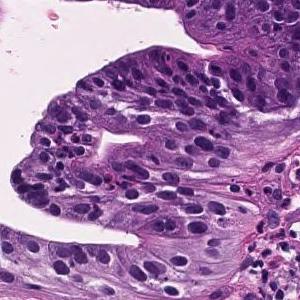
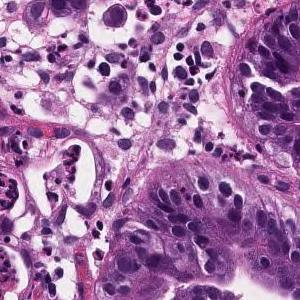
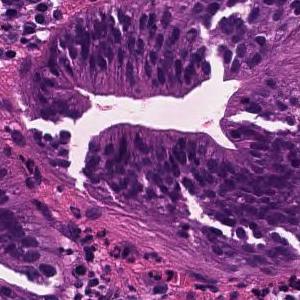
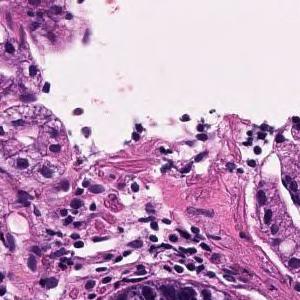
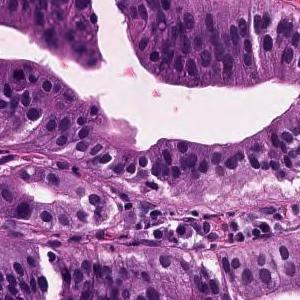
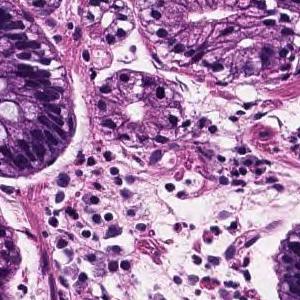
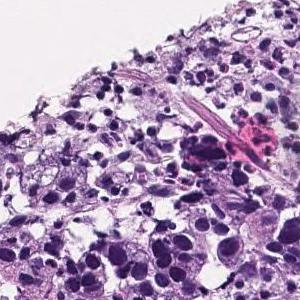
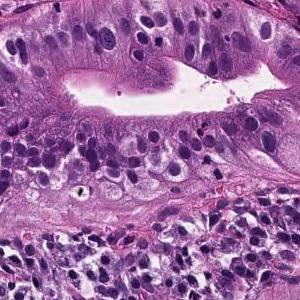
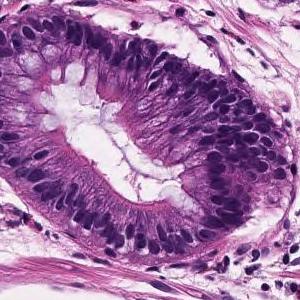
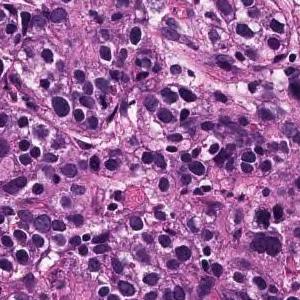
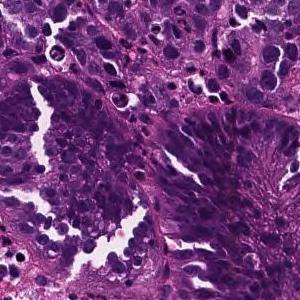
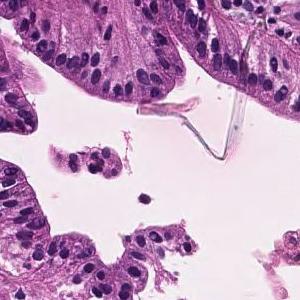
H&E stain; scanned at ×20; 12 tiles cut from one stomach biopsy slide.
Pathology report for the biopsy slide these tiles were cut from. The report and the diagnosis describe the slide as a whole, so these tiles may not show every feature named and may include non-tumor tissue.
In the superficial epithelium, tumor tissue that invades by forming medium-sized to small, irregular ducts is observed. moderately differentiated tubular adenocarcinoma.
